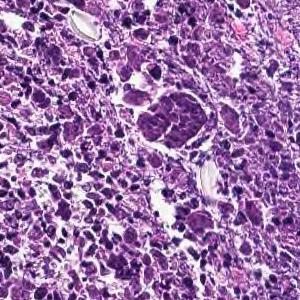
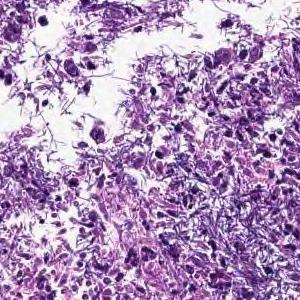
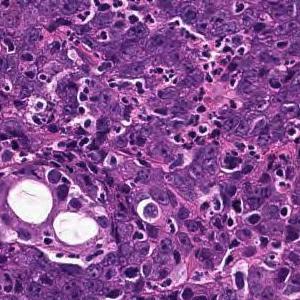
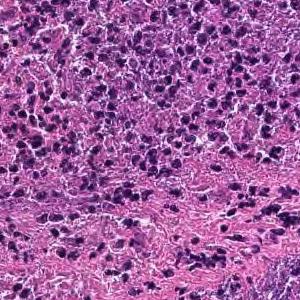
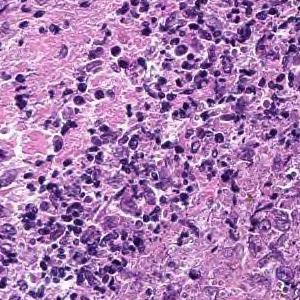
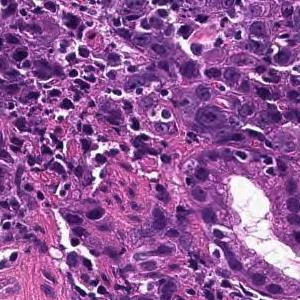
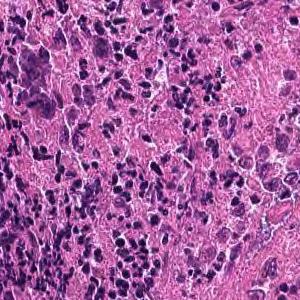
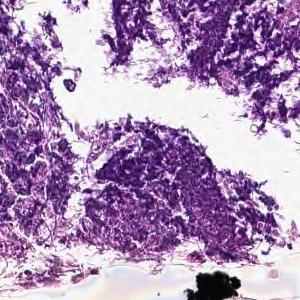
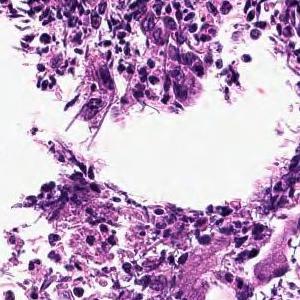
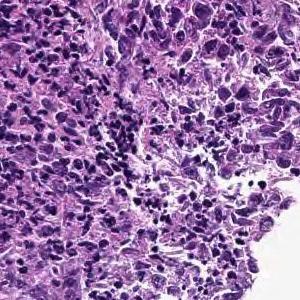
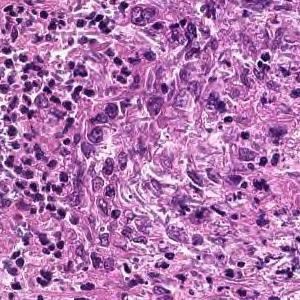
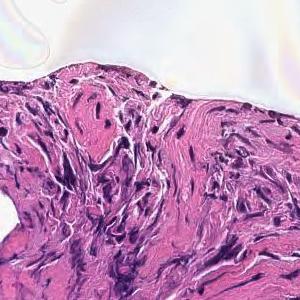
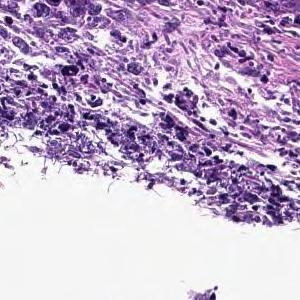
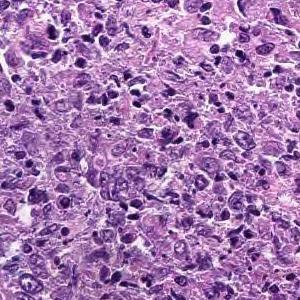
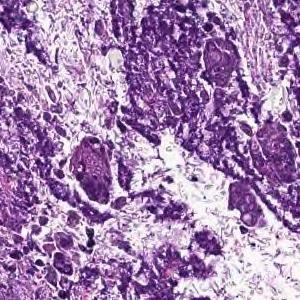
15 patches cut from one gastric biopsy slide · 300×300 px each · H&E · scanned at ×20.
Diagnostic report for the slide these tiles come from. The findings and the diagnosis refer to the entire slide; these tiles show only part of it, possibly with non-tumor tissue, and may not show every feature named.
Cancers with polygonal nuclei do not show glandular formation and are densely, in part, cord-like and proliferate. Poorly differentiated adenocarcinoma
Histologic type: Poorly differentiated adenocarcinoma, non-solid type.
The non-solid type named here is a Japanese Classification of Gastric Carcinoma category.
